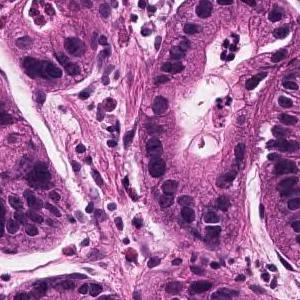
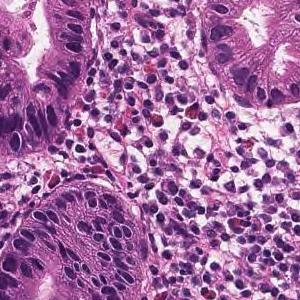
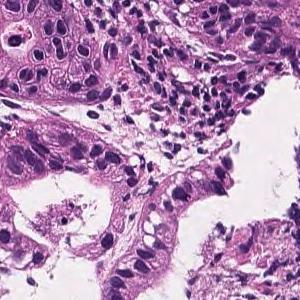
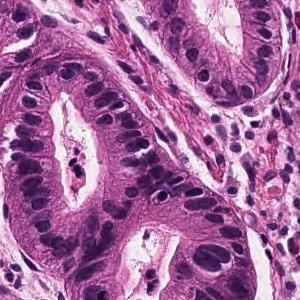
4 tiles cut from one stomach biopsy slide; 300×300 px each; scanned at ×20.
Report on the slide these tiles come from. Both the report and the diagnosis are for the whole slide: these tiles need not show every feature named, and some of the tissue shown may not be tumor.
Tumor tissue in which medium to small irregular ducts infiltrate and proliferate in the submucosa can be seen in the epithelium. Well differentiated tubular adenocarcinoma
